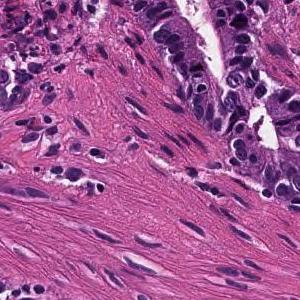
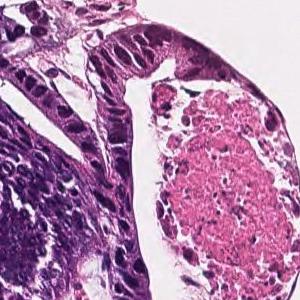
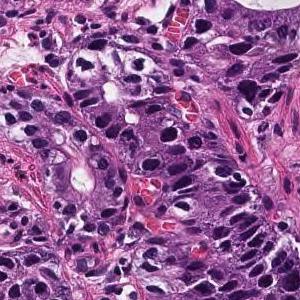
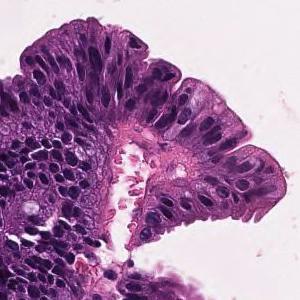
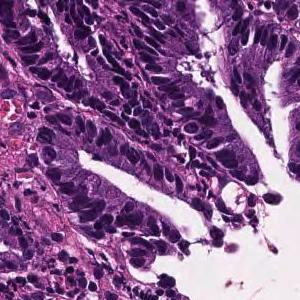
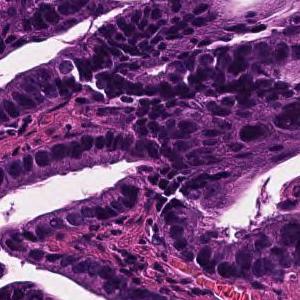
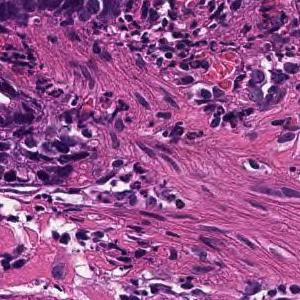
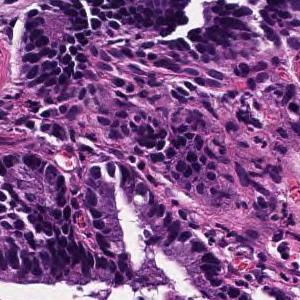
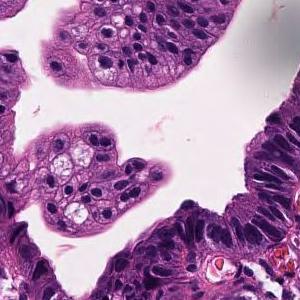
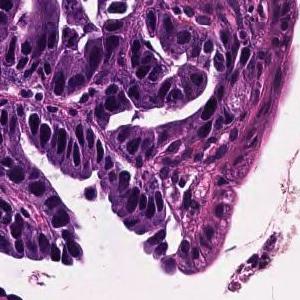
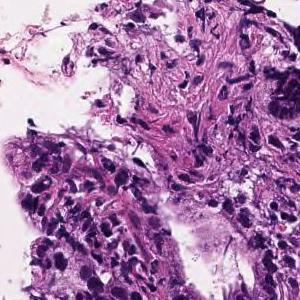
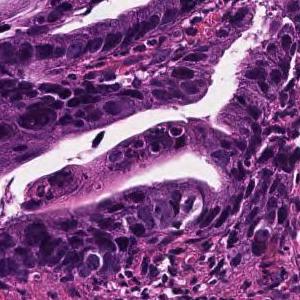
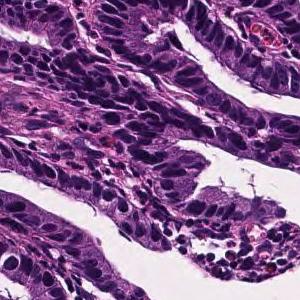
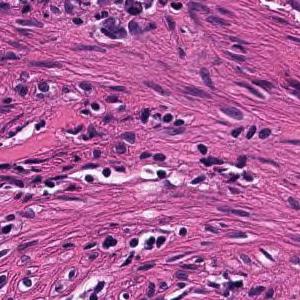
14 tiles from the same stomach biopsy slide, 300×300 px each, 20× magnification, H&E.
Pathology report for the slide these tiles were cut from. The report and the diagnosis describe the slide as a whole, so these tiles may not show every feature named and may include non-tumor tissue.
Tumor cells are large, highly columnar, large club-shaped nuclei, and are associated with chromatin aggregation. Papillary adenocarcinoma.
